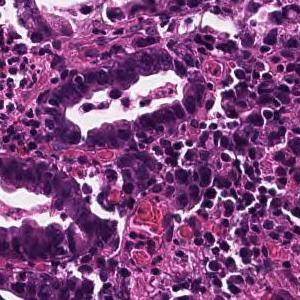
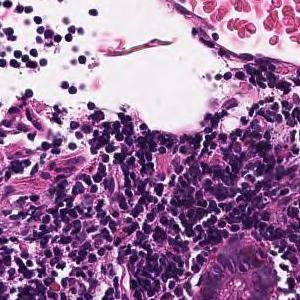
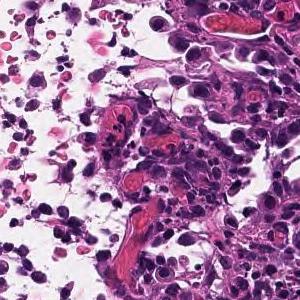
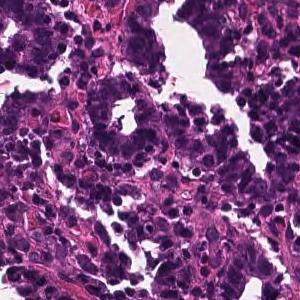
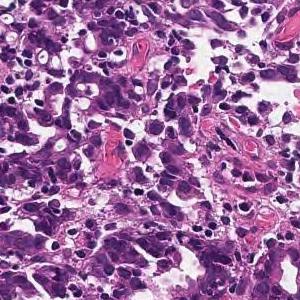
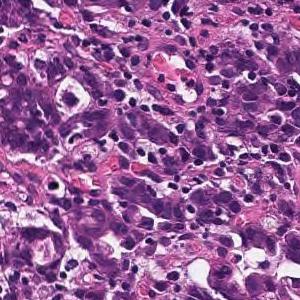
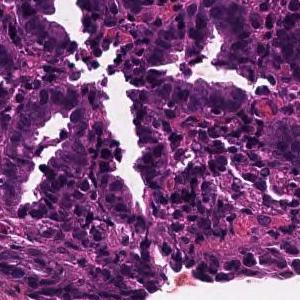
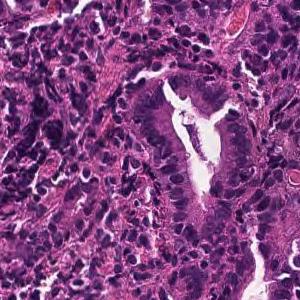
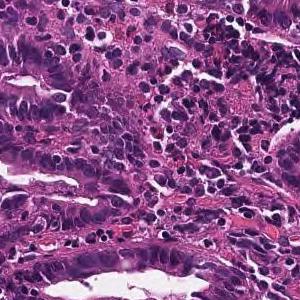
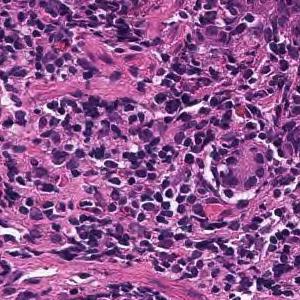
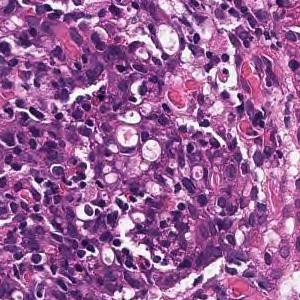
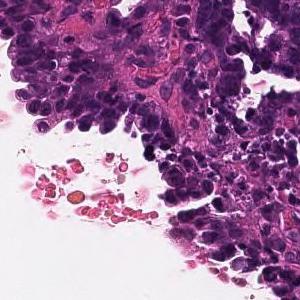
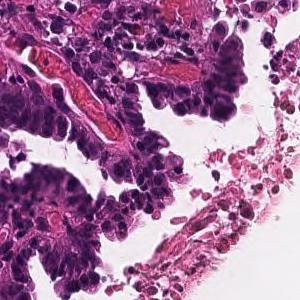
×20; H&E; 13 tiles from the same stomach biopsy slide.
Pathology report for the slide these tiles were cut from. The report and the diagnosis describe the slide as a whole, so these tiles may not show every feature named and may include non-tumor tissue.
In the superficial epithelium, tumor tissue that invades by forming medium-sized to small, irregular ducts is observed. moderately differentiated tubular adenocarcinoma.
